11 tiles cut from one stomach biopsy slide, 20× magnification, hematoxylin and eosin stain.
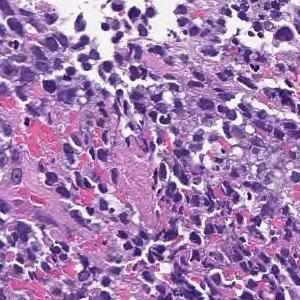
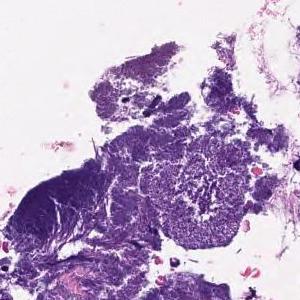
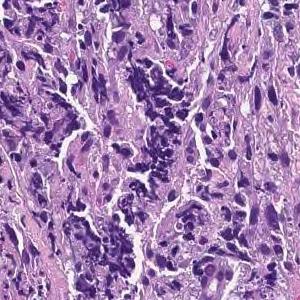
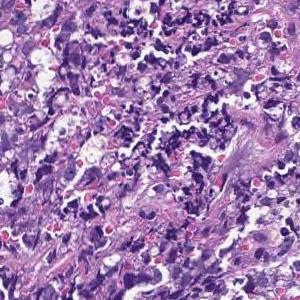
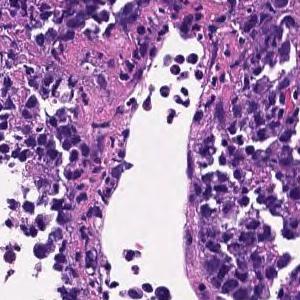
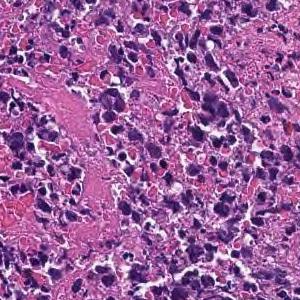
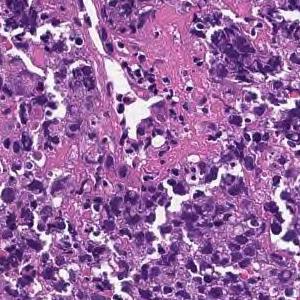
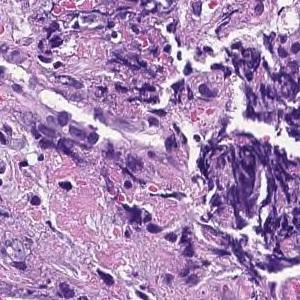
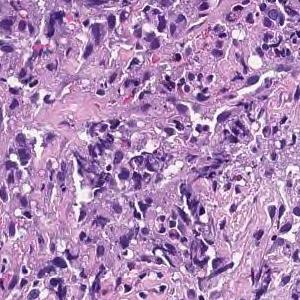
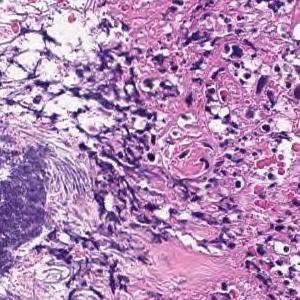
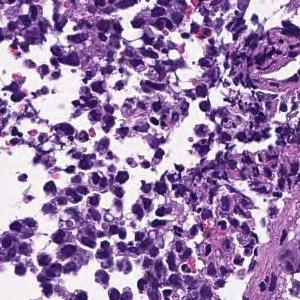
The pathologist's report on the biopsy slide these tiles were taken from. Both the report and the diagnosis are for the whole slide: these tiles need not show every feature named, and some of the tissue shown may not be tumor.
Most are composed of coagulative necrotic tissue, but some show a large sheet-like shape, and some show tumor tissue infiltrating with a small cord-like structure. Poorly differentiated adenocarcinoma, solid-type
Histological subtype: Poorly differentiated adenocarcinoma, solid type, a category of the Japanese Classification of Gastric Carcinoma; in the WHO 2019 classification it is tubular adenocarcinoma, poorly differentiated.
